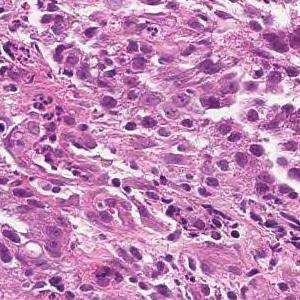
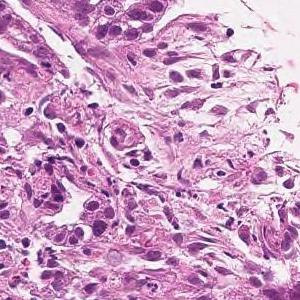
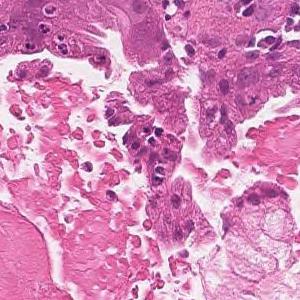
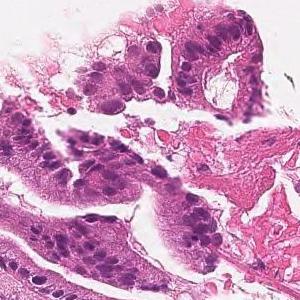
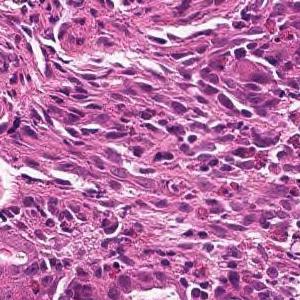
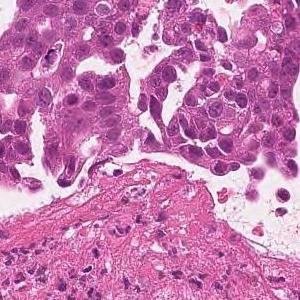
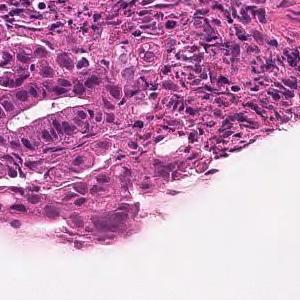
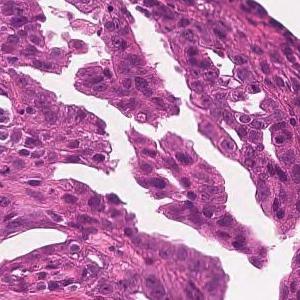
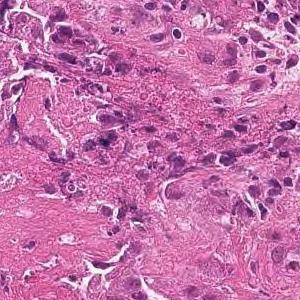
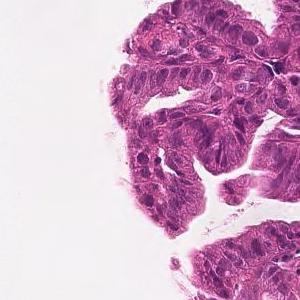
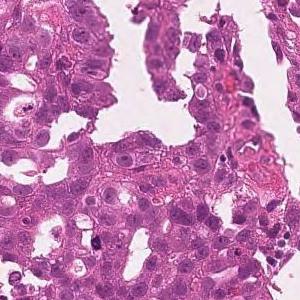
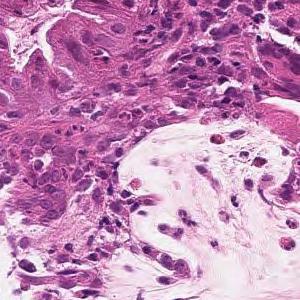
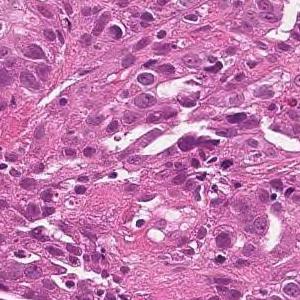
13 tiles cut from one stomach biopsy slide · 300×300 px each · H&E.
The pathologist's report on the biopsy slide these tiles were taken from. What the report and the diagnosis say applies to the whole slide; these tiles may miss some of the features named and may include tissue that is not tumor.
Tumor tissue consisting of large papillary structures is found in the superficial epithelium. Papillary adenocarcinoma.
